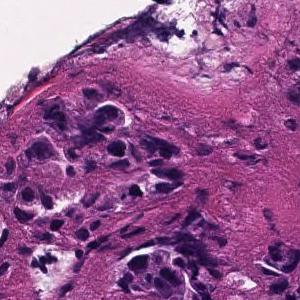
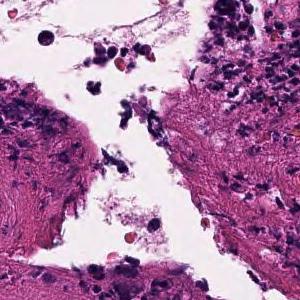
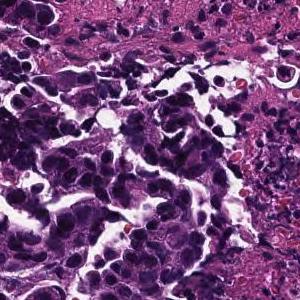
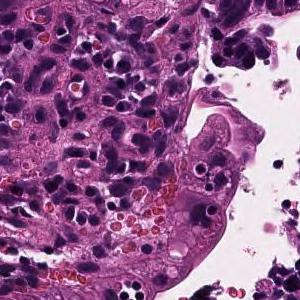
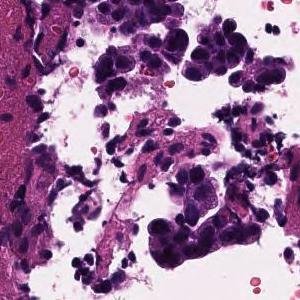
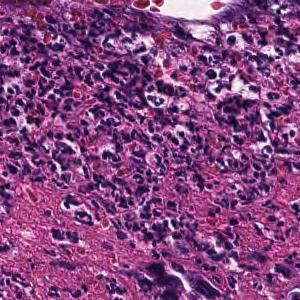
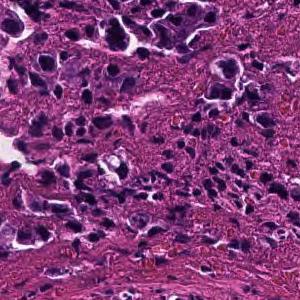
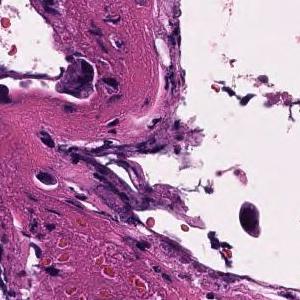
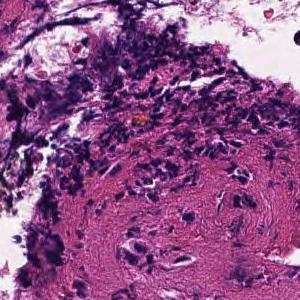
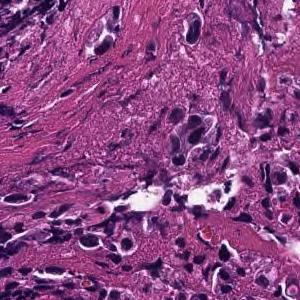
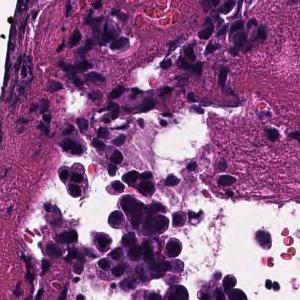
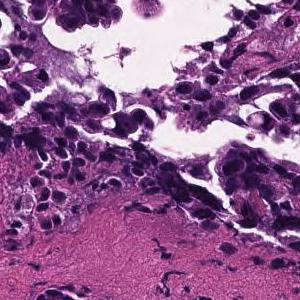
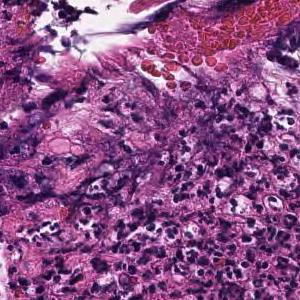
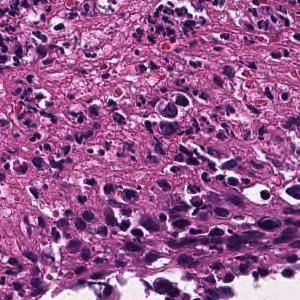
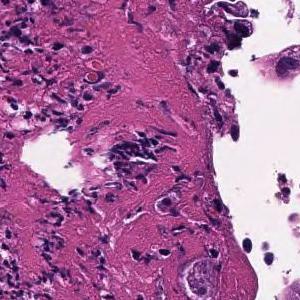
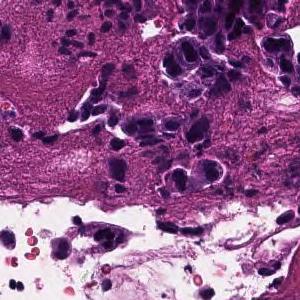
×20, 16 patches cut from one gastric biopsy slide, 300×300 px each.
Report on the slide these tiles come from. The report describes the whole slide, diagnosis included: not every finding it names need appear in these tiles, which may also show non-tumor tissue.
Tumor tissue consisting of cord-like or small, irregular glandular ducts fused and infiltrated is observed in the superficial epithelium. Poorly differentiated adenocarcinoma, non-solid type
The term "non-solid type" comes from the Japanese Classification of Gastric Carcinoma.
